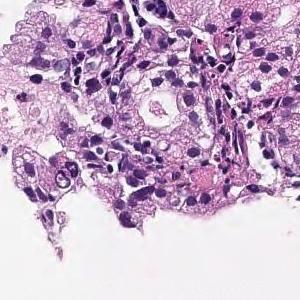
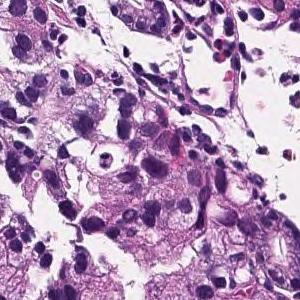
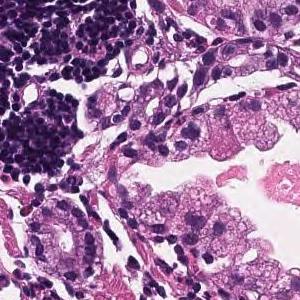
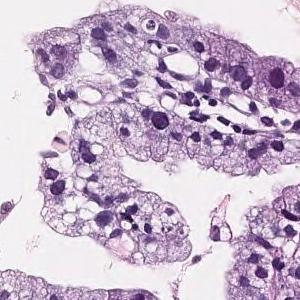
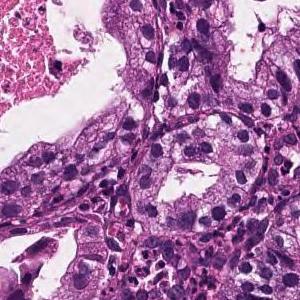
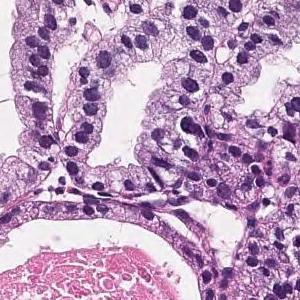
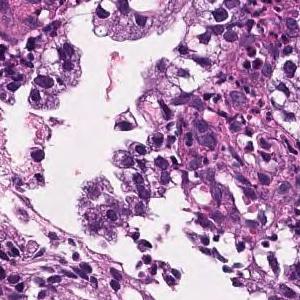
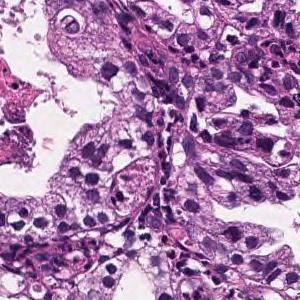
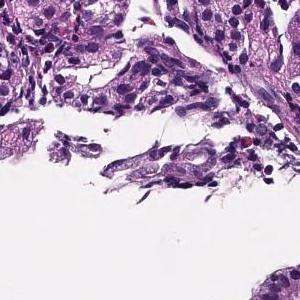
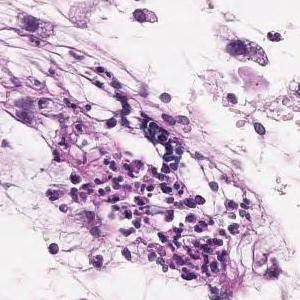
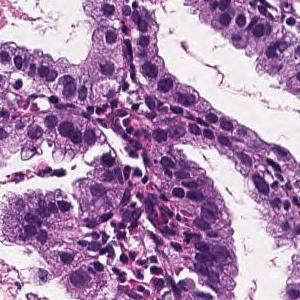
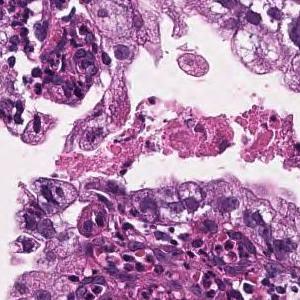
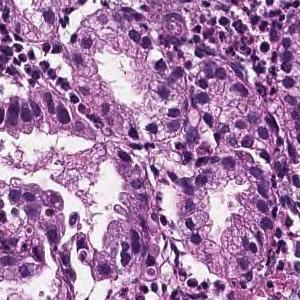
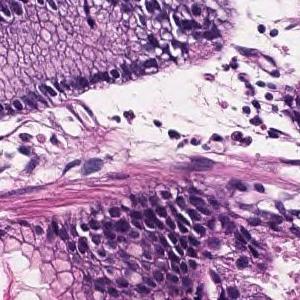
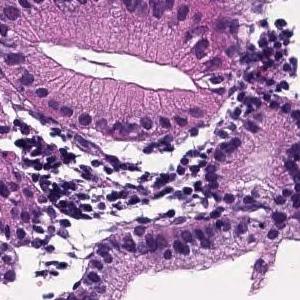
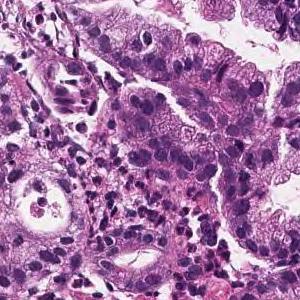
Scanned at ×20, 16 patches cut from one gastric biopsy slide.
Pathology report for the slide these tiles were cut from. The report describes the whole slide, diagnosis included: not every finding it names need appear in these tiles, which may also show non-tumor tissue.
In the superficial epithelium, tumor tissue that infiltrates by forming medium-sized papillary or small irregular ducts is observed. Papillary adenocarcinoma
